15 image tiles from a single gastric biopsy slide · 300 × 300 pixels each · ×20.
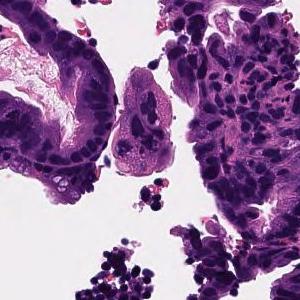
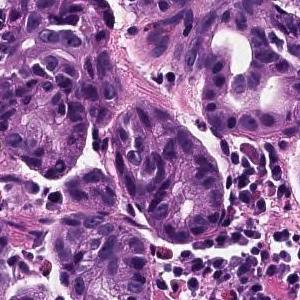
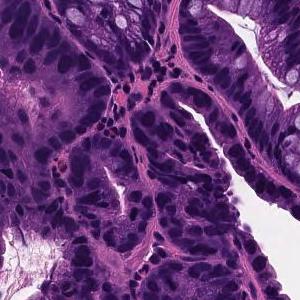
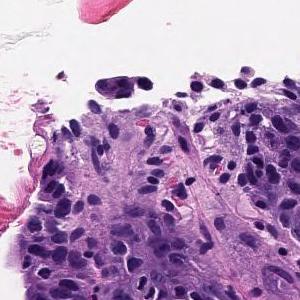
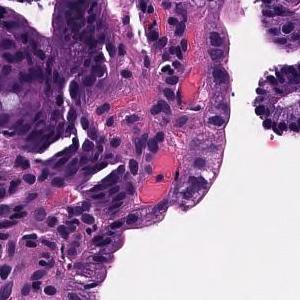
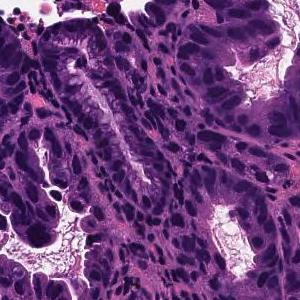
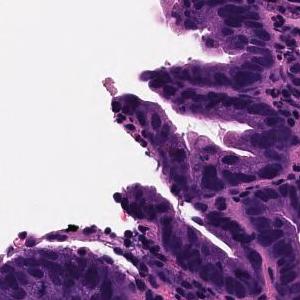
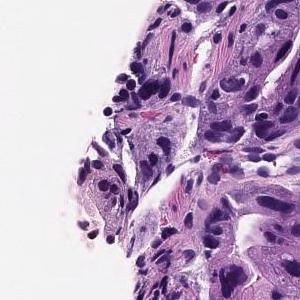
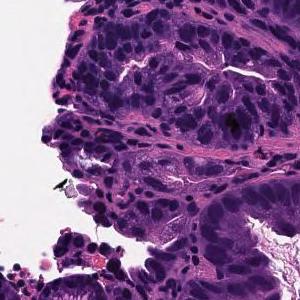
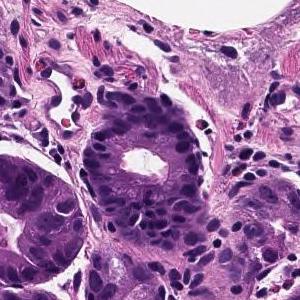
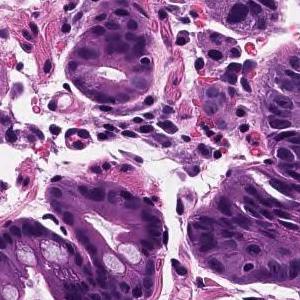
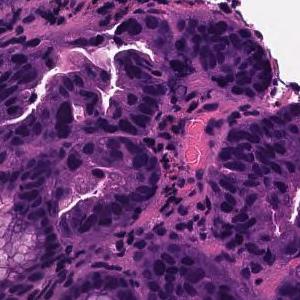
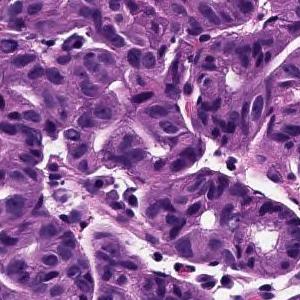
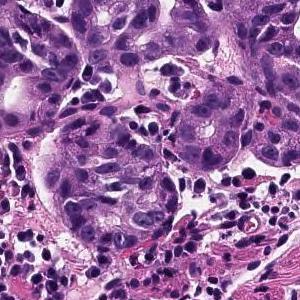
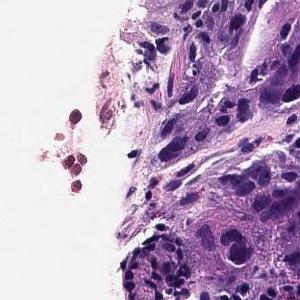
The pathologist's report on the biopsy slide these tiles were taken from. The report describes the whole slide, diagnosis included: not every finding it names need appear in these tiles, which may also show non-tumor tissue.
On the superficial epithelium, tumor tissue consisting of large irregular glandular ducts partially fused and infiltrated is observed. Well to moderately differentiated tubular adenocarcinoma (well differentiated tubular adenocarcinoma, moderately differentiated tubular adenocarcinoma)
Classified as well to moderately differentiated tubular adenocarcinoma.
